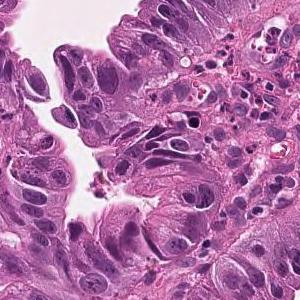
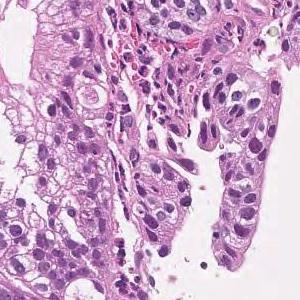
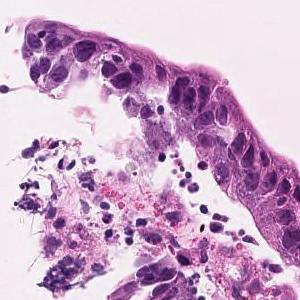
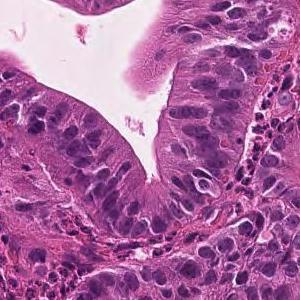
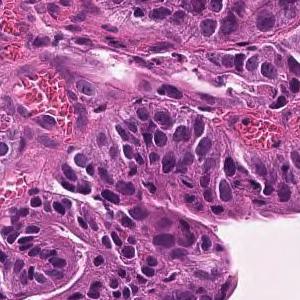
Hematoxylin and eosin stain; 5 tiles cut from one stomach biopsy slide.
Report on the slide these tiles come from. What the report and the diagnosis say applies to the whole slide; these tiles may miss some of the features named and may include tissue that is not tumor.
Tumor cells are large, highly columnar, large club-shaped nuclei, and are associated with chromatin aggregation. Papillary adenocarcinoma.
